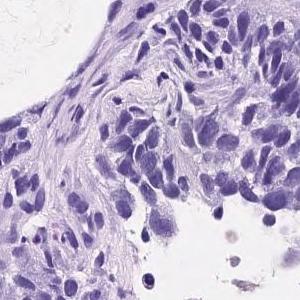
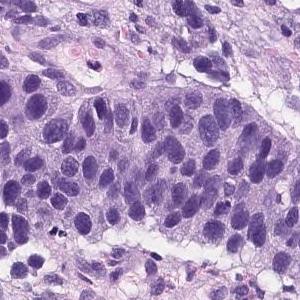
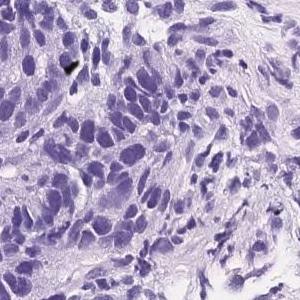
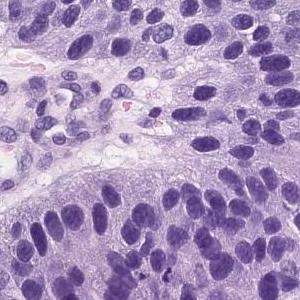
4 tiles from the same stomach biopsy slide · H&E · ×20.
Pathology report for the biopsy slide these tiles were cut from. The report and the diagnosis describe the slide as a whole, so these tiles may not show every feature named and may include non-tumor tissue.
Atypical cells with atypical nuclei forming small irregular atypical ducts and growing in a conformative manner. moderately differentiated tubular adenocarcinoma
The dataset labels this slide moderately to poorly differentiated adenocarcinoma.
